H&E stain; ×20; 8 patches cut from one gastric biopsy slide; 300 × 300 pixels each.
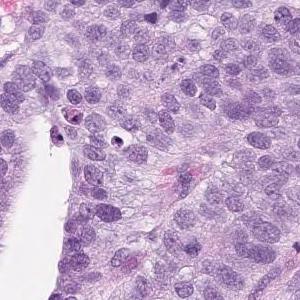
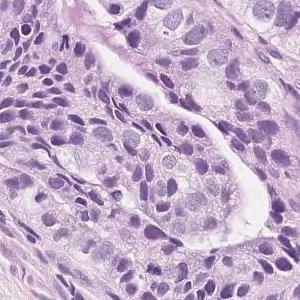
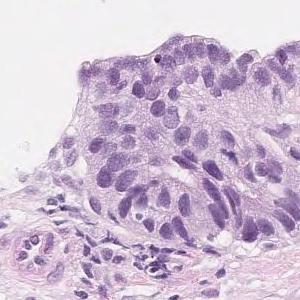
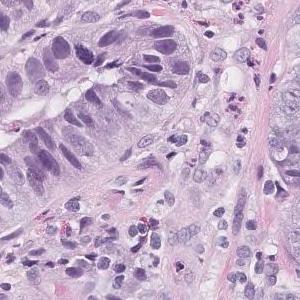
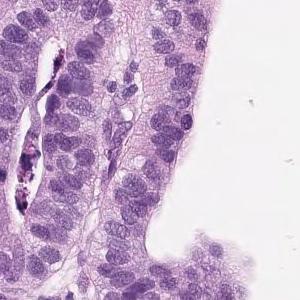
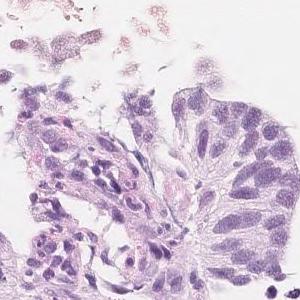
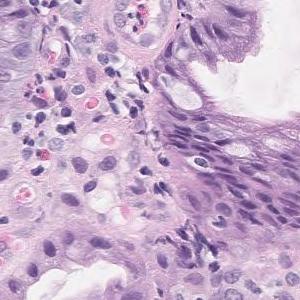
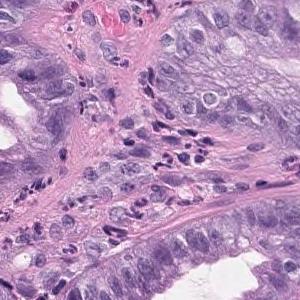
Report on the slide these tiles come from. What the report and the diagnosis say applies to the whole slide; these tiles may miss some of the features named and may include tissue that is not tumor.
Tumor tissue in which highly columnar atypical epithelial cells with nuclear enlargement and increased nuclear chromatin show papillary to papillary ductal structure and proliferate is observed. Papillary adenocarcinoma.
